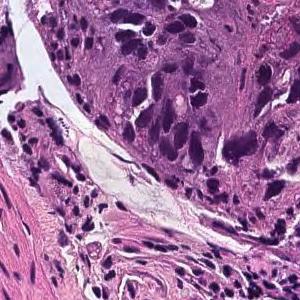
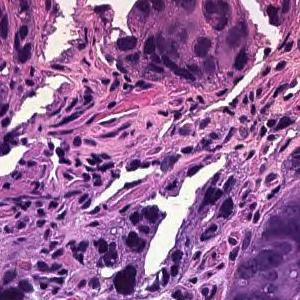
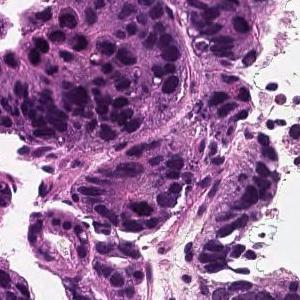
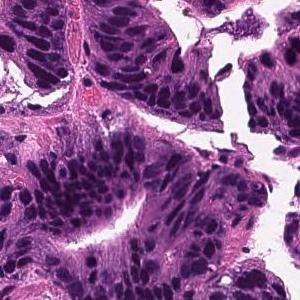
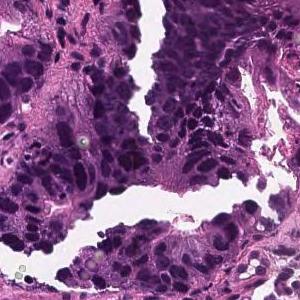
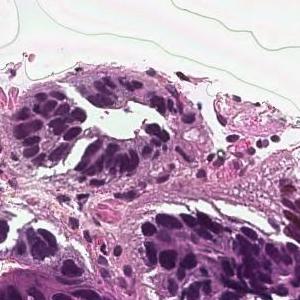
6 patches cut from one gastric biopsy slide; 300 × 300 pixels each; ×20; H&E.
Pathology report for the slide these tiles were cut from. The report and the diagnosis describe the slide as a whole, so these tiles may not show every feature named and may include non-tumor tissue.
In the superficial epithelium, tumor tissue that invades by forming medium-sized to small, irregular ducts is observed. moderately differentiated tubular adenocarcinoma.
